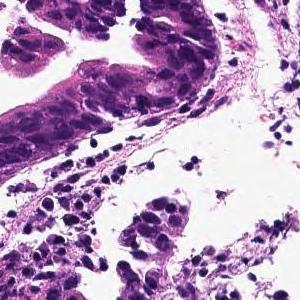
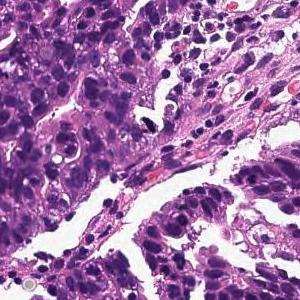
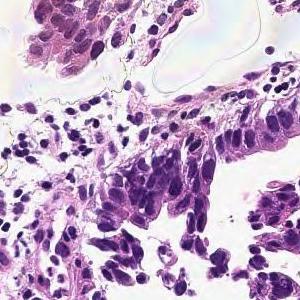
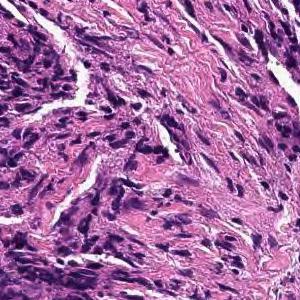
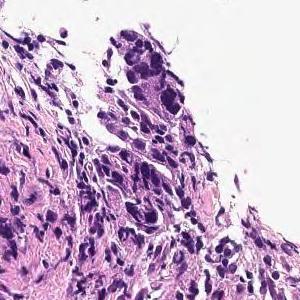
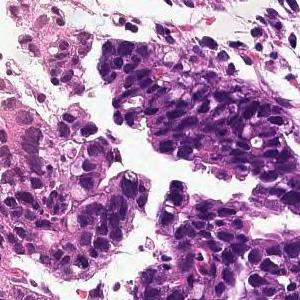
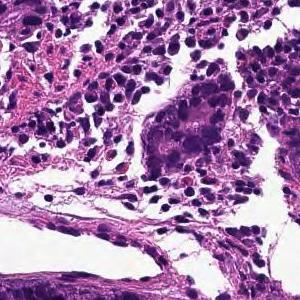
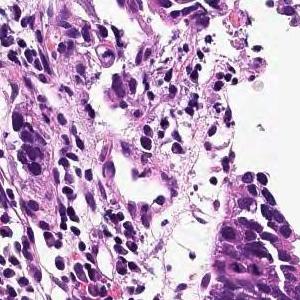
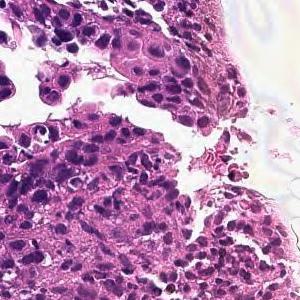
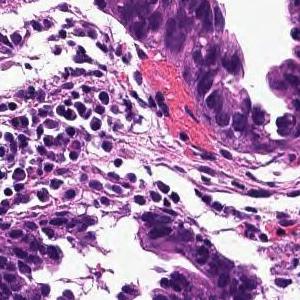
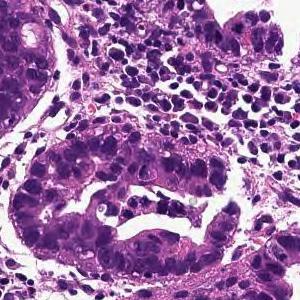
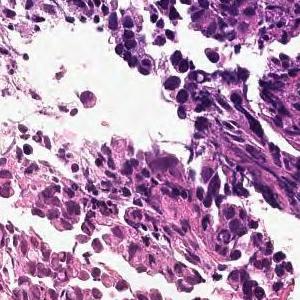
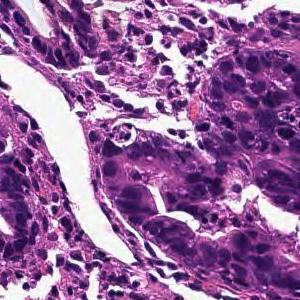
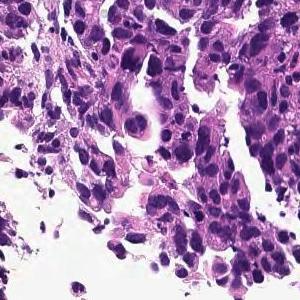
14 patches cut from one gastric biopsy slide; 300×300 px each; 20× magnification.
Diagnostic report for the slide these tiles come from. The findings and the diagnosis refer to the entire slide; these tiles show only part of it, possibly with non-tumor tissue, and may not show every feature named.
In the superficial epithelium, tumor tissue that invades by forming medium-sized to small, irregular ducts is observed. moderately differentiated tubular adenocarcinoma.
